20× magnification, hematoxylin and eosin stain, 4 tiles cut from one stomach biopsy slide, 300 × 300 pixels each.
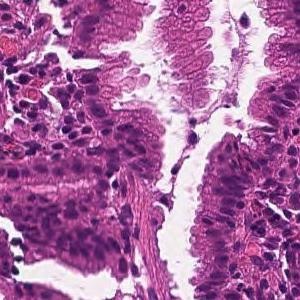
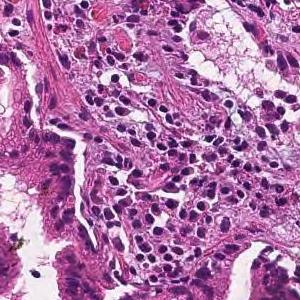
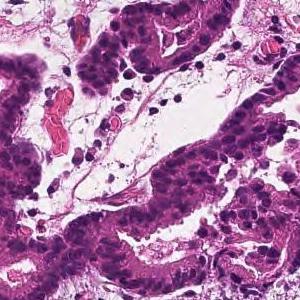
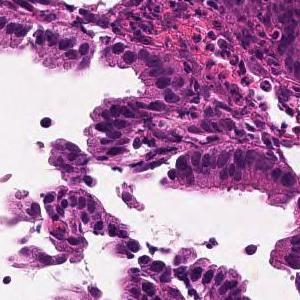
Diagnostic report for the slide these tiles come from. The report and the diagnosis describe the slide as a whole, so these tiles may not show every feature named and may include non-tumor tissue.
From the superficial epithelium to the muscularis mucosae, tumor tissue consisting of medium-sized and irregular glandular ducts infiltrating is observed. Well differentiated tubular adenocarcinoma
